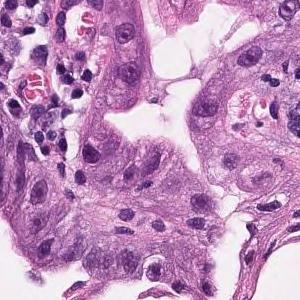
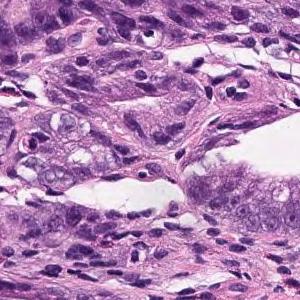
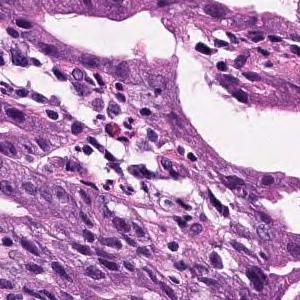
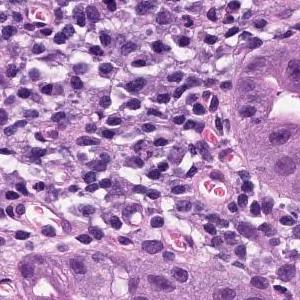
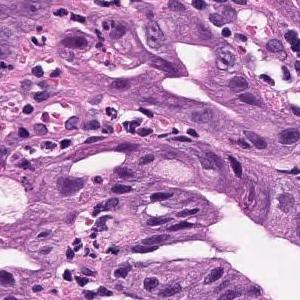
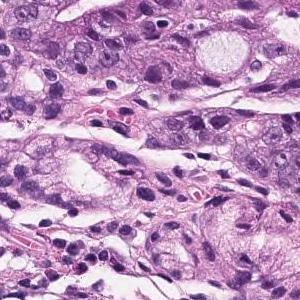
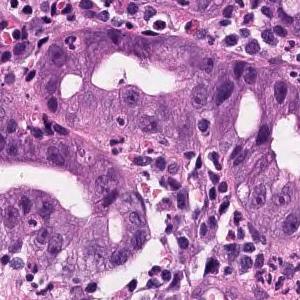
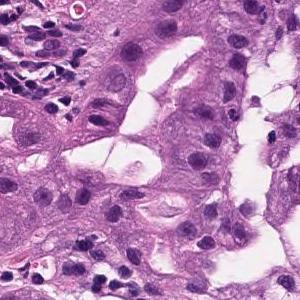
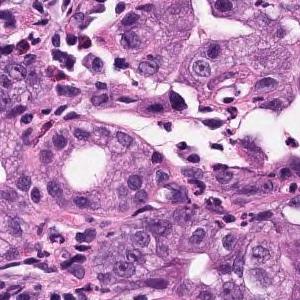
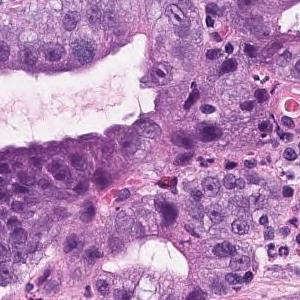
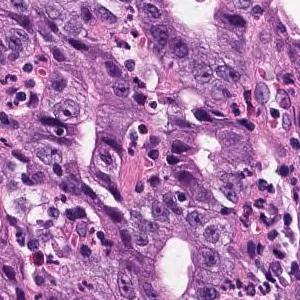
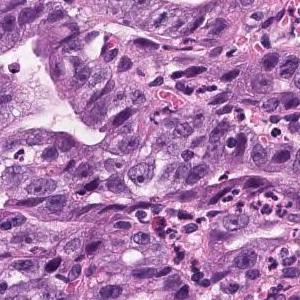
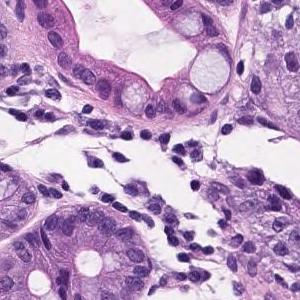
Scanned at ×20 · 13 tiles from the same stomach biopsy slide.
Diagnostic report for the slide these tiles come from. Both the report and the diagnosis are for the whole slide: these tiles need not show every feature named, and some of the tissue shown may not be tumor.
In the superficial epithelium, tumor tissue that invades by forming medium-sized to small, irregular ducts is observed. Well to moderately differentiated adenocarcinoma (well differentiated tubular adenocarcinoma, moderately differentiated tubular adenocarcinoma).
Histological subtype: Well to moderately differentiated tubular adenocarcinoma.
